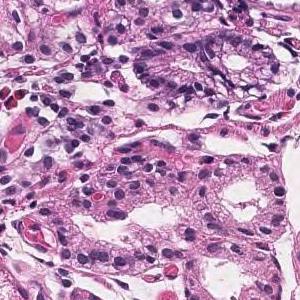
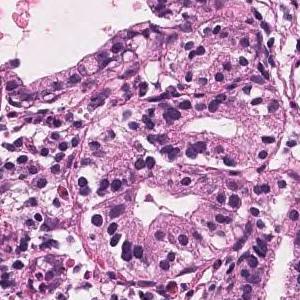
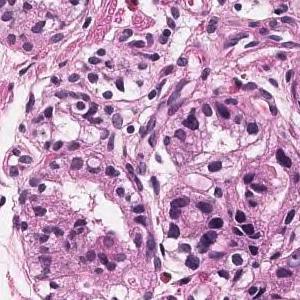
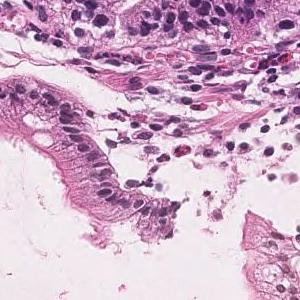
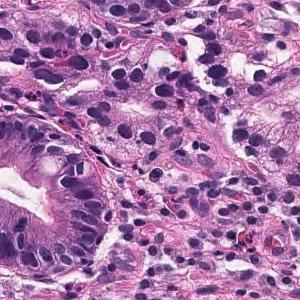
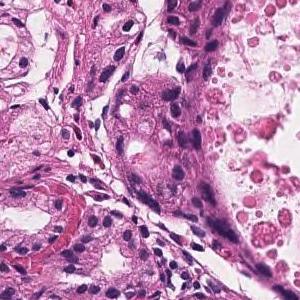
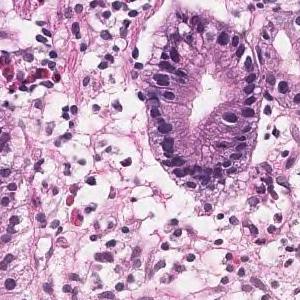
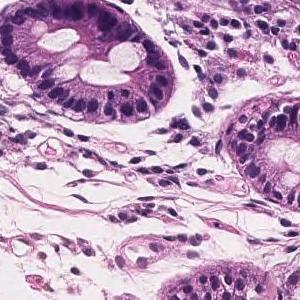
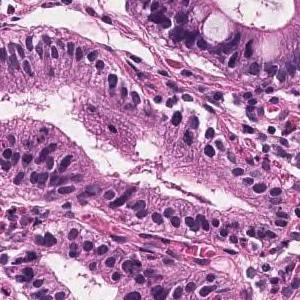
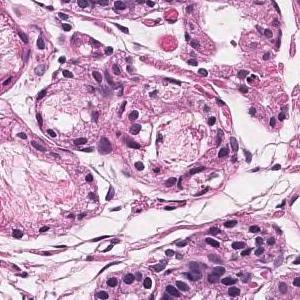
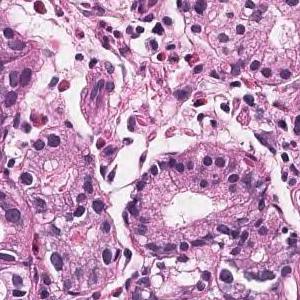
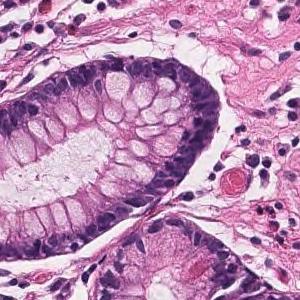
H&E · ×20 · 12 patches cut from one gastric biopsy slide.
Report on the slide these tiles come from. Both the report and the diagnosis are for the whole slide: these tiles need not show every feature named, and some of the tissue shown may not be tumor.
On the superficial epithelium, tumor tissue consisting of large, irregular glandular ducts partially fused and infiltrated is observed. Well differentiated tubular adenocarcinoma
